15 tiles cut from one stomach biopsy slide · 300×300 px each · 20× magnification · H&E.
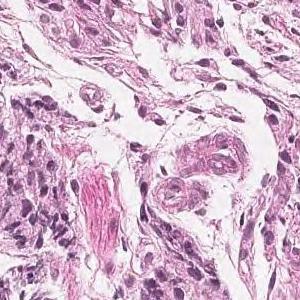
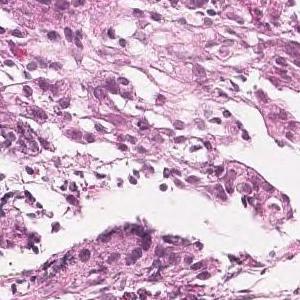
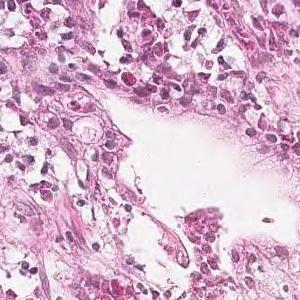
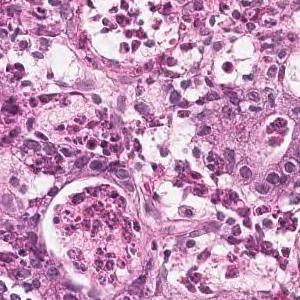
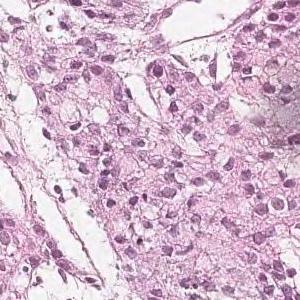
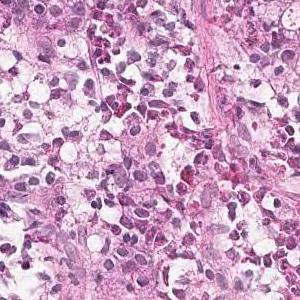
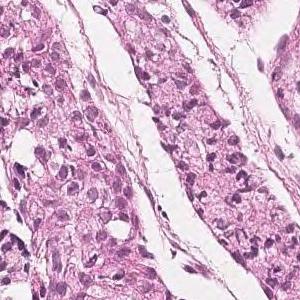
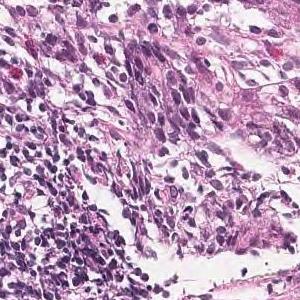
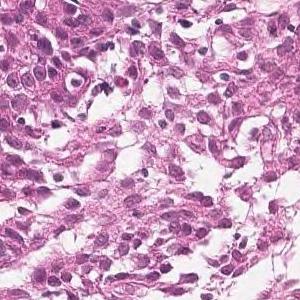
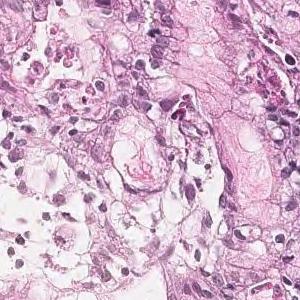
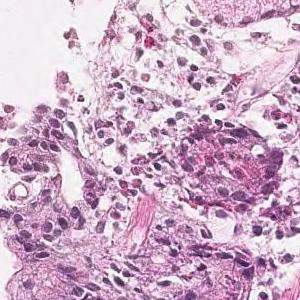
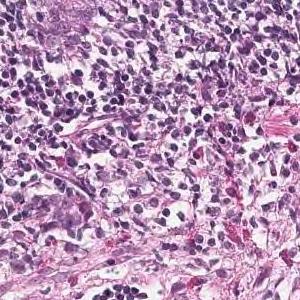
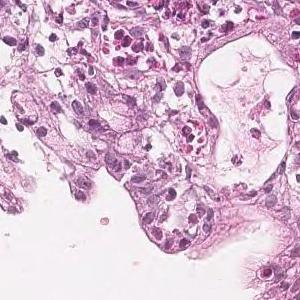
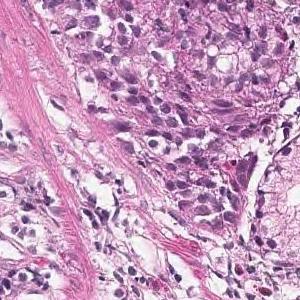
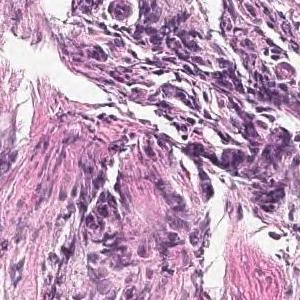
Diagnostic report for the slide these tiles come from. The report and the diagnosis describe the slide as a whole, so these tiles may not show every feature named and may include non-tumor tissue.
Tumor tissue consisting of medium-sized, cord-like or irregular glandular infiltration is observed in the superficial epithelium. Poorly differentiated adenocarcinoma, non-solid type or moderately differentiated tubular adenocarcinoma
The non-solid type named here is a Japanese Classification of Gastric Carcinoma category.
